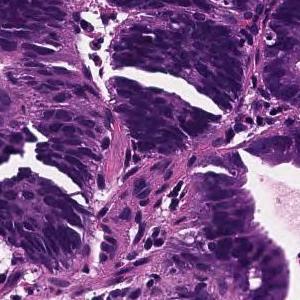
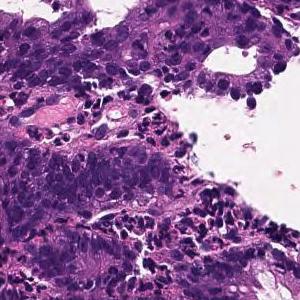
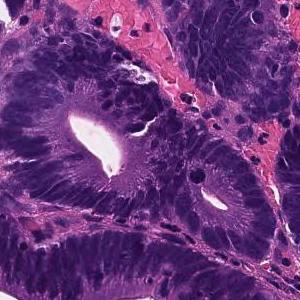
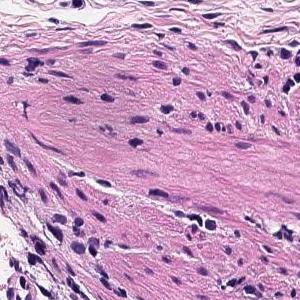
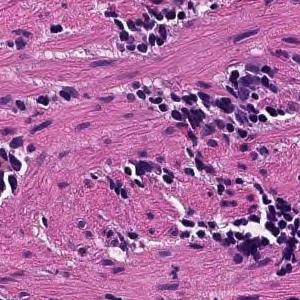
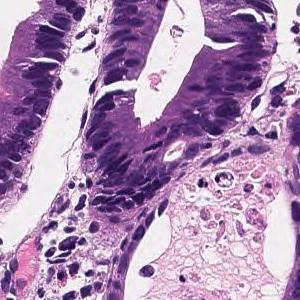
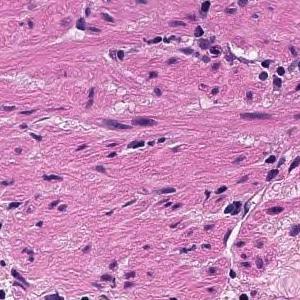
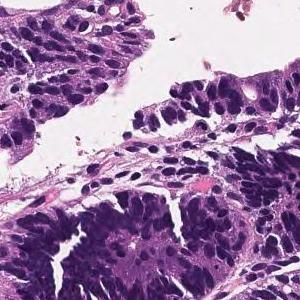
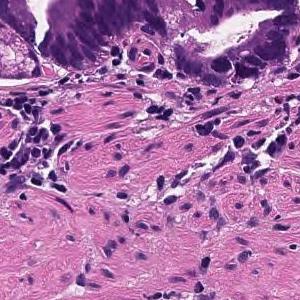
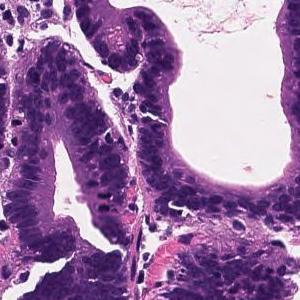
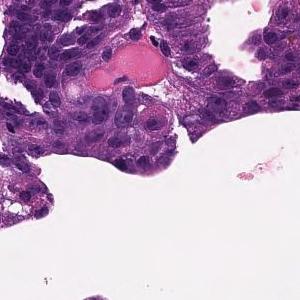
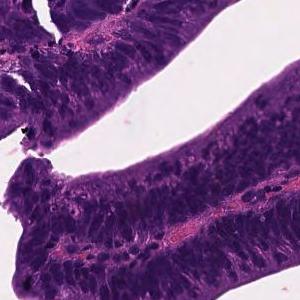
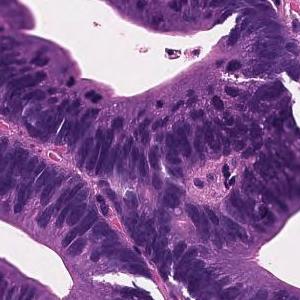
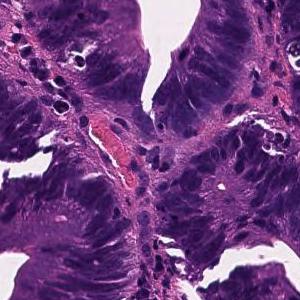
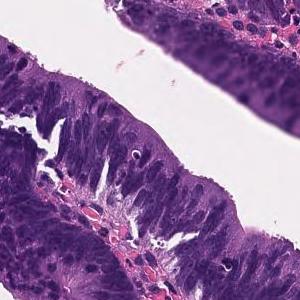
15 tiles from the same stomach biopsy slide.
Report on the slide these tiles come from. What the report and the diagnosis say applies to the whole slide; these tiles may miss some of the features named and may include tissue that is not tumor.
Tumor tissue consisting of large papillary structures is found in the superficial epithelium. Papillary adenocarcinoma.
